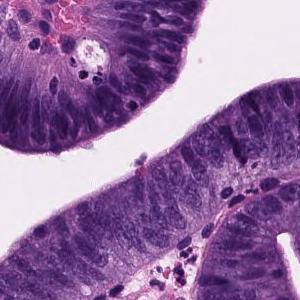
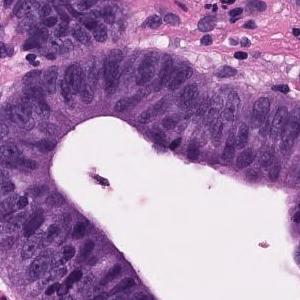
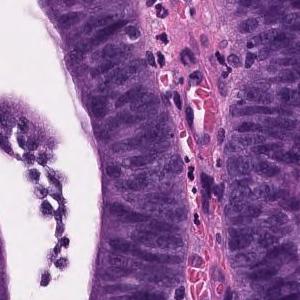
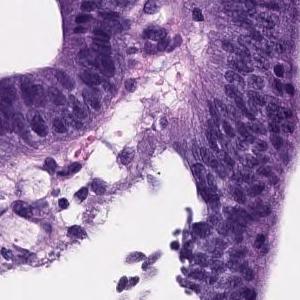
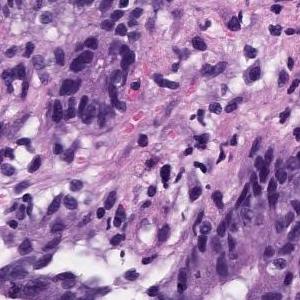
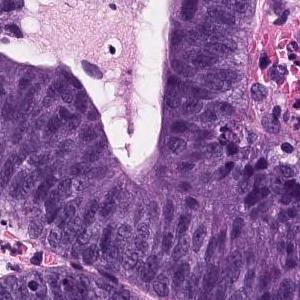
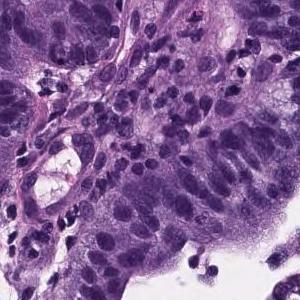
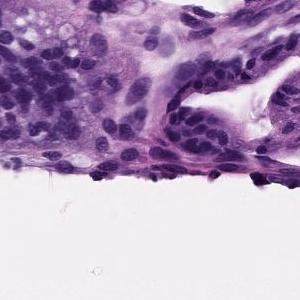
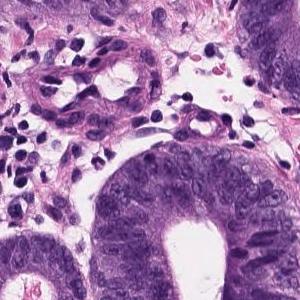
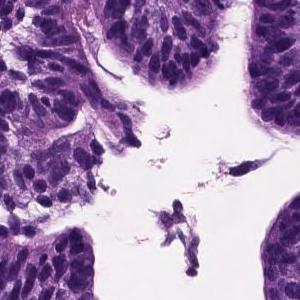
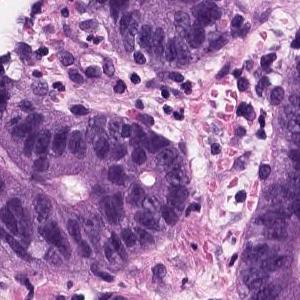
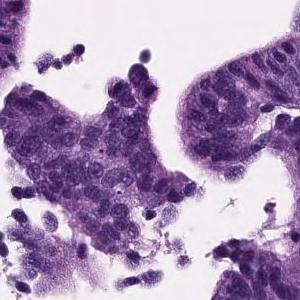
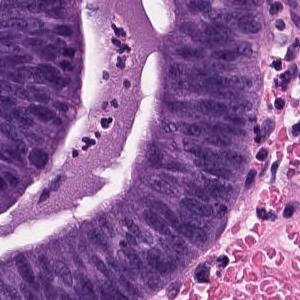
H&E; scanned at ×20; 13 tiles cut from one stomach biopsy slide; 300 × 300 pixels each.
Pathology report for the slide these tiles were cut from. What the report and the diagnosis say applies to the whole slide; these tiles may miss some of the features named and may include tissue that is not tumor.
Papillo-tubular growth of atypical tubules with nuclear swelling is observed. Well differentiated tubular adenocarcinoma
